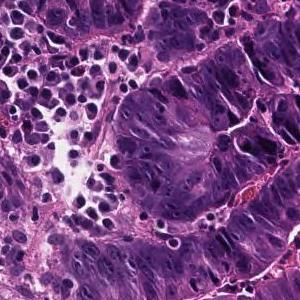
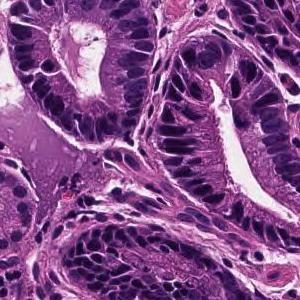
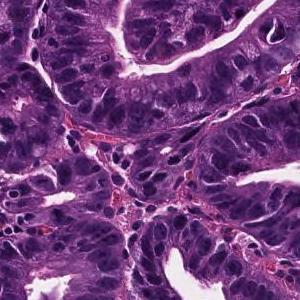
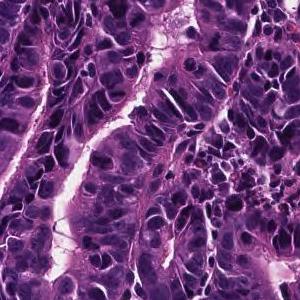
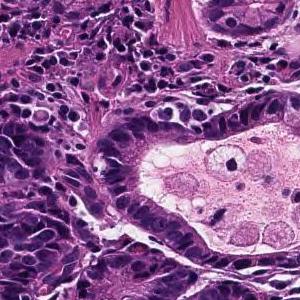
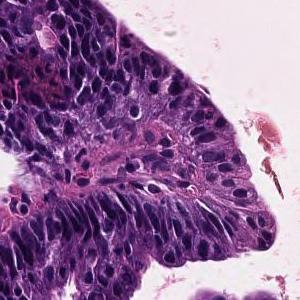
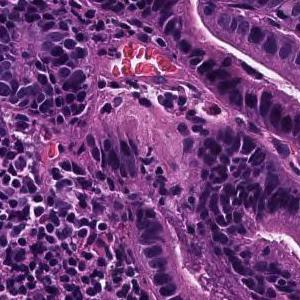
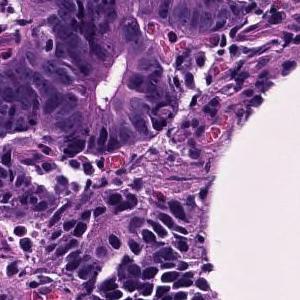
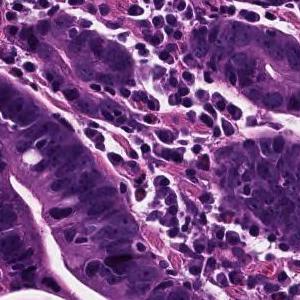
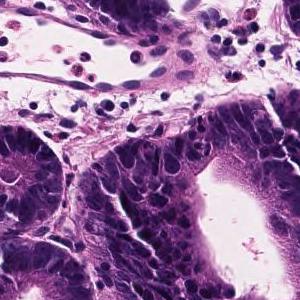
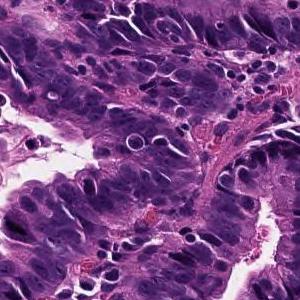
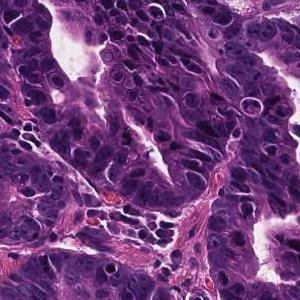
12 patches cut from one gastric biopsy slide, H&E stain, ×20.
Pathology report for the biopsy slide these tiles were cut from. What the report and the diagnosis say applies to the whole slide; these tiles may miss some of the features named and may include tissue that is not tumor.
On the superficial epithelium, tumor tissue consisting of growth of medium-sized to large-sized, round or irregular glandular ducts is observed. Well differentiated tubular adenocarcinoma
